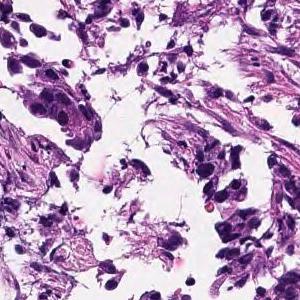
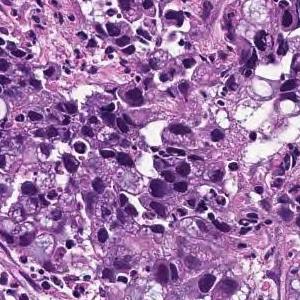
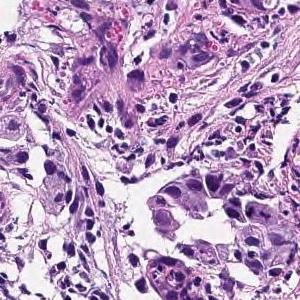
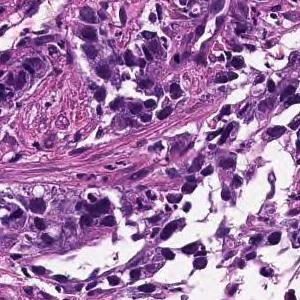
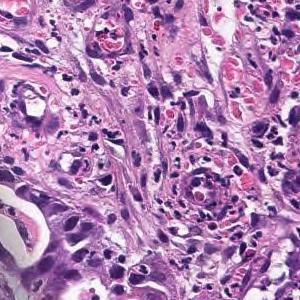
5 tiles cut from one stomach biopsy slide; each 300 × 300 pixels; scanned at ×20.
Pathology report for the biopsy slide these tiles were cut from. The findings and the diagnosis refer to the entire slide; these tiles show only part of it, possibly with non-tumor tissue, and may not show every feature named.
Medium to small, irregular glandular ducts are formed in the superficial epithelium, and in some cases, the glandular ducts are fused to show solid alveolar lesions and infiltrating tumor tissue is observed. Moderately to poorly differentiated adenocarcinoma.
